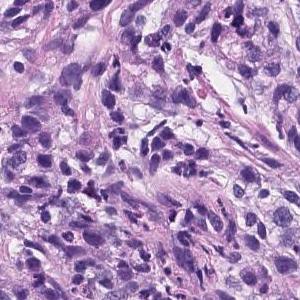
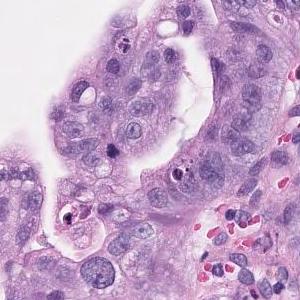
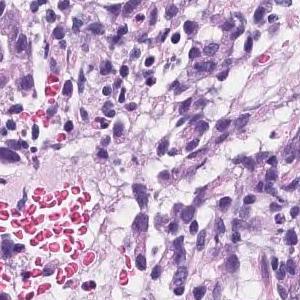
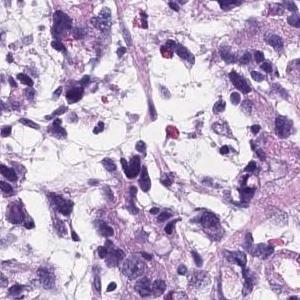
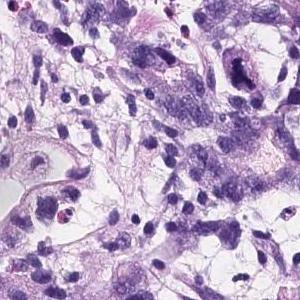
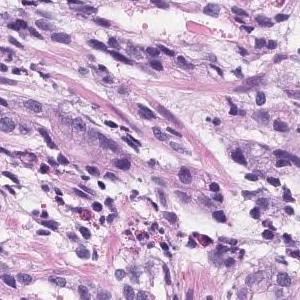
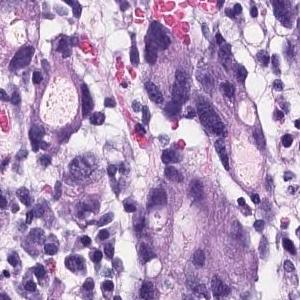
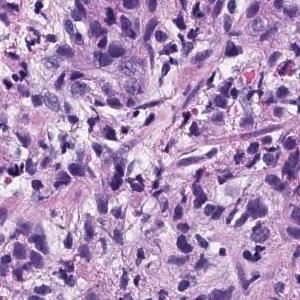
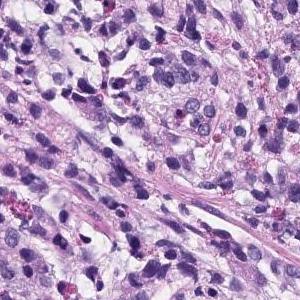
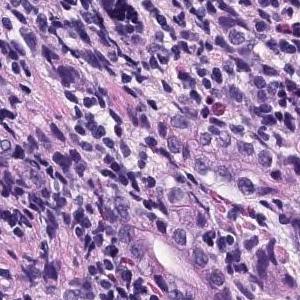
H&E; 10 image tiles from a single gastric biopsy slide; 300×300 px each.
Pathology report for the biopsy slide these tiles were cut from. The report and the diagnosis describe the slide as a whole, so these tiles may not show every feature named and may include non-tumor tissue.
There are atypical l cells with atypical nuclei forming cord-like or irregular atypical ducts from solidity and proliferating in a comprehensive manner. Poorly differentiated adenocarcinoma, Moderately differentiated adenocarcinoma (poorly differentiated adenocarcinoma, solid type moderately differentiated tubular adenocarcinoma)
Subtype: Moderately to poorly differentiated adenocarcinoma.
The solid type named here is a Japanese Classification of Gastric Carcinoma category; WHO 2019 calls it tubular adenocarcinoma, poorly differentiated.
